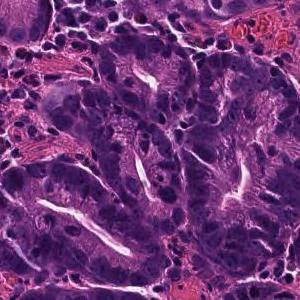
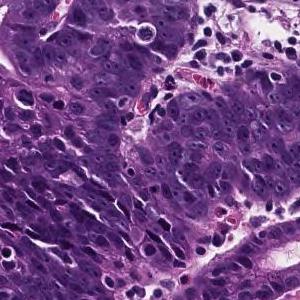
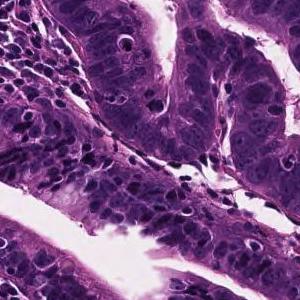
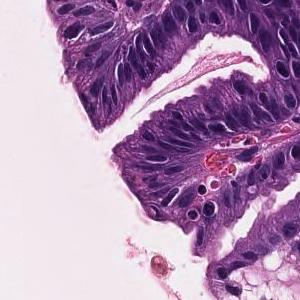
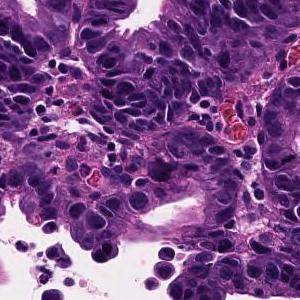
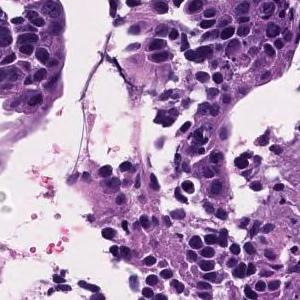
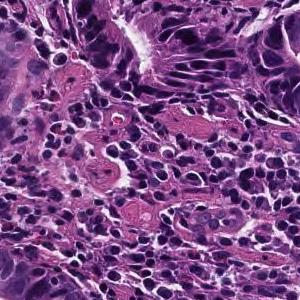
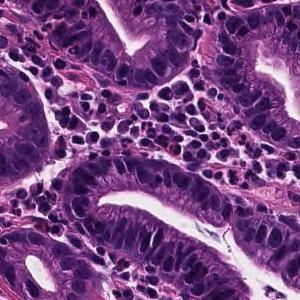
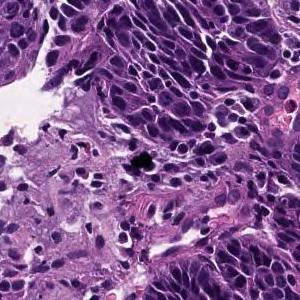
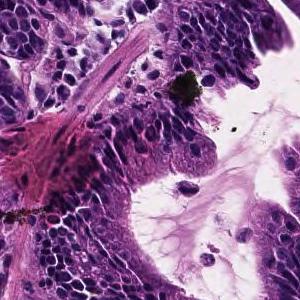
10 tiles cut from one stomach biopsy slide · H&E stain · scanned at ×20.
Pathology report for the biopsy slide these tiles were cut from. What the report and the diagnosis say applies to the whole slide; these tiles may miss some of the features named and may include tissue that is not tumor.
On the superficial epithelium, tumor tissue consisting of growth of medium-sized to large-sized, round or irregular glandular ducts is observed. Well differentiated tubular adenocarcinoma
